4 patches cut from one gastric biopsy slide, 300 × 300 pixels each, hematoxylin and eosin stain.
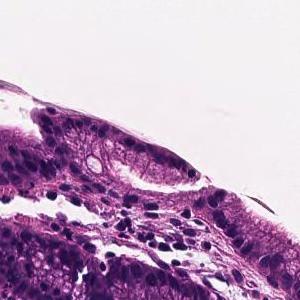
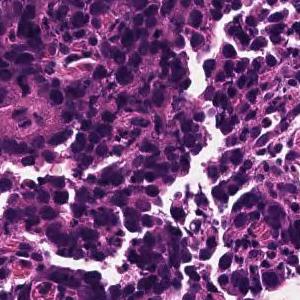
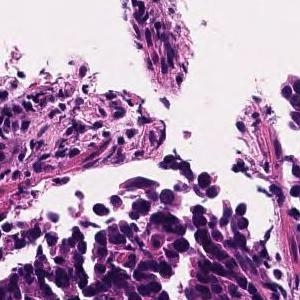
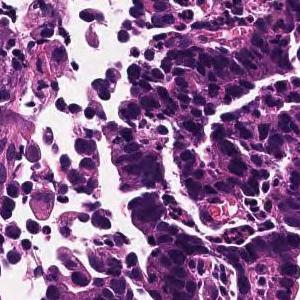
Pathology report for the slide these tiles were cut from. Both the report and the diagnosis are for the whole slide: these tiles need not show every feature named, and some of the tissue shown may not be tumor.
Medium to small, irregular glandular ducts are formed in the superficial epithelium, and in some cases, the glandular ducts are fused to show solid alveolar lesions and infiltrating tumor tissue is observed. Moderately to poorly differentiated adenocarcinoma.
